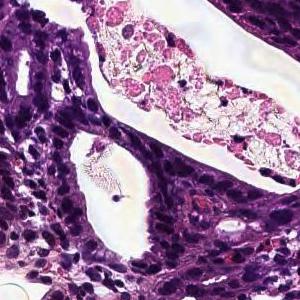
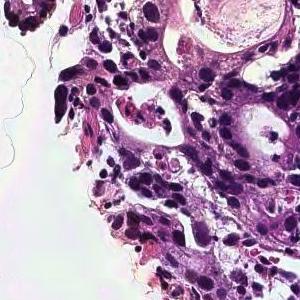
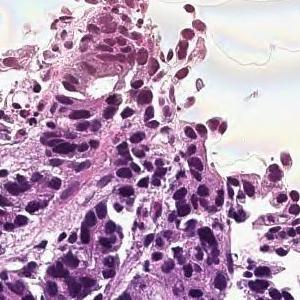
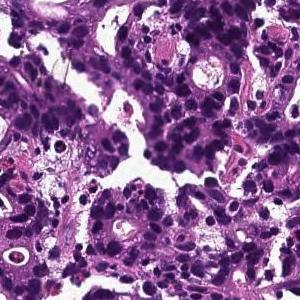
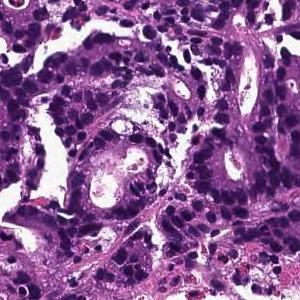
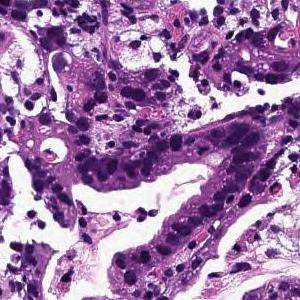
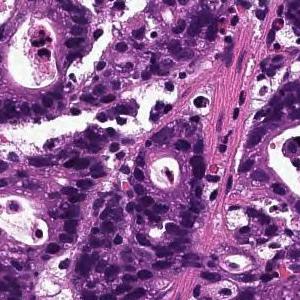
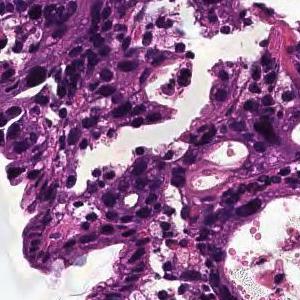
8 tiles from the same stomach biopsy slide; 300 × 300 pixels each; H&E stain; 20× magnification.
The pathologist's report on the biopsy slide these tiles were taken from. What the report and the diagnosis say applies to the whole slide; these tiles may miss some of the features named and may include tissue that is not tumor.
In the superficial epithelium, tumor tissue that invades by forming medium-sized to small, irregular ducts is observed. moderately differentiated tubular adenocarcinoma.
